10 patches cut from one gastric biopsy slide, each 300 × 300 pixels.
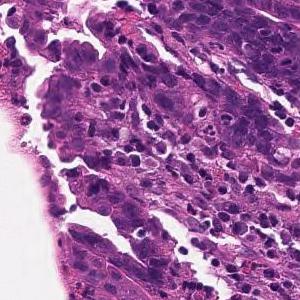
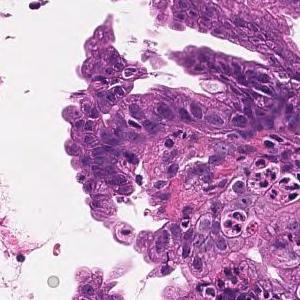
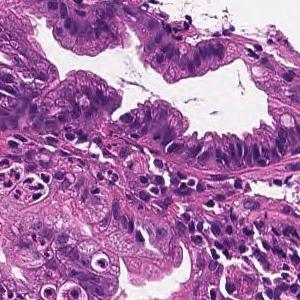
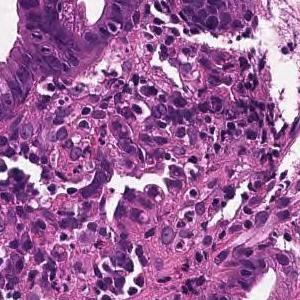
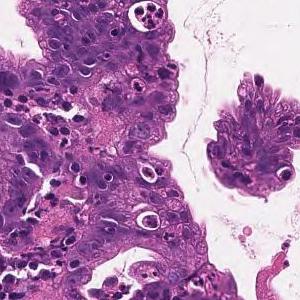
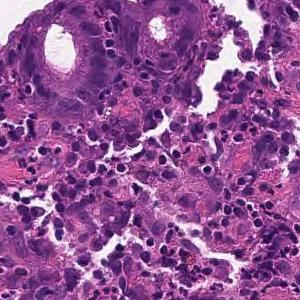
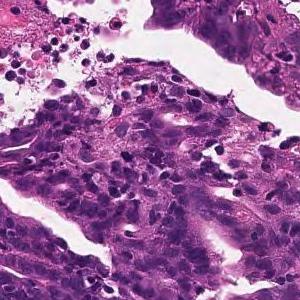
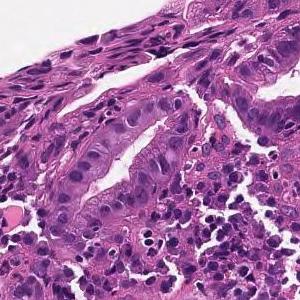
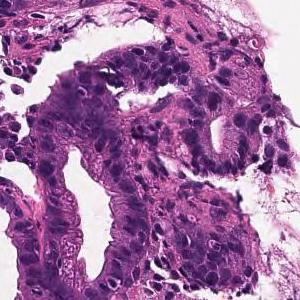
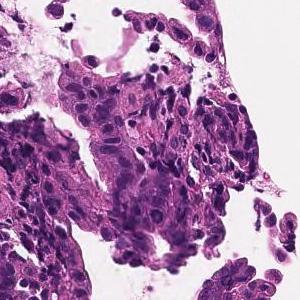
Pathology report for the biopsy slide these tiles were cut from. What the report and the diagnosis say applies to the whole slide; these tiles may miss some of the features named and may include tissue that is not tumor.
From the superficial epithelium to the muscularis mucosae, tumor tissue consisting of medium-sized and irregular glandular ducts infiltrating is observed. Well differentiated tubular adenocarcinoma
